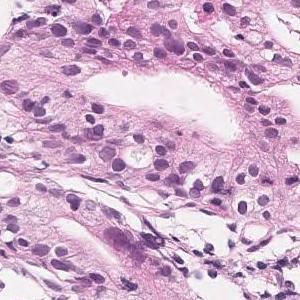
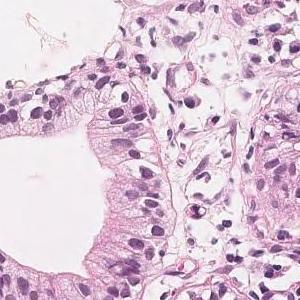
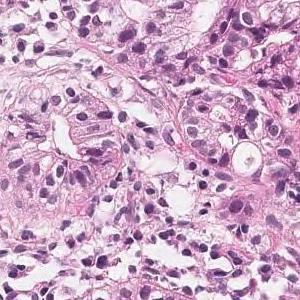
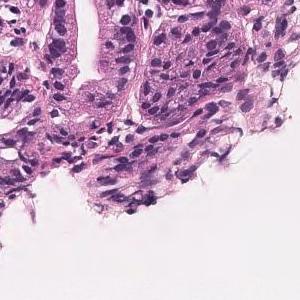
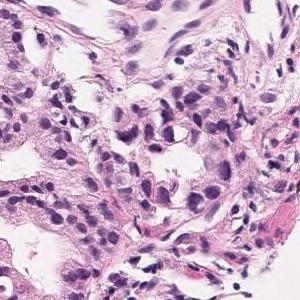
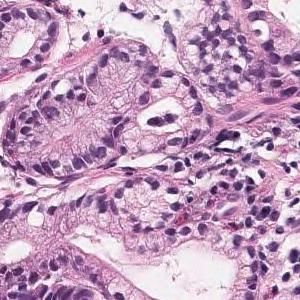
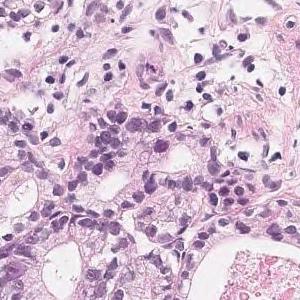
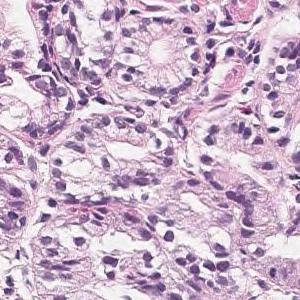
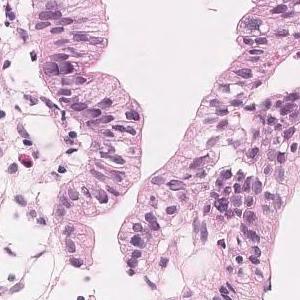
9 tiles from the same stomach biopsy slide, 300 × 300 pixels each, hematoxylin and eosin stain.
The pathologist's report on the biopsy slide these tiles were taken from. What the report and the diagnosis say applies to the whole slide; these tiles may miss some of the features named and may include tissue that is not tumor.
Proliferation of atypical glandular ducts that fuse and show a sieving structure is observed. moderately differentiated tubular adenocarcinoma
